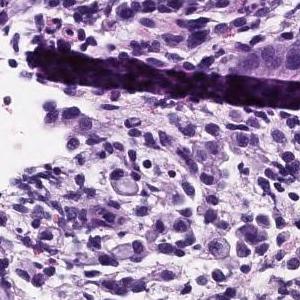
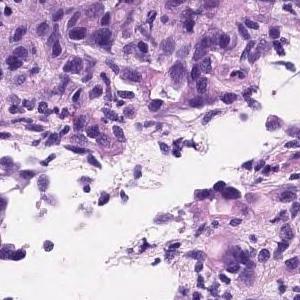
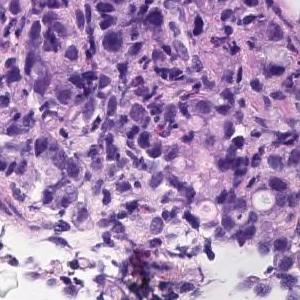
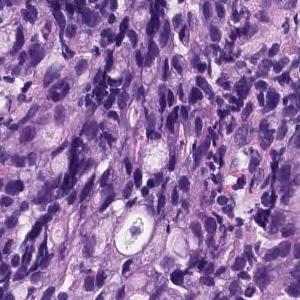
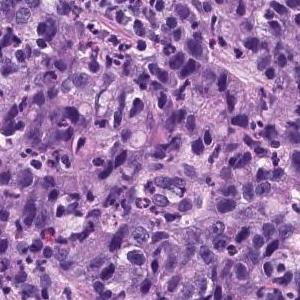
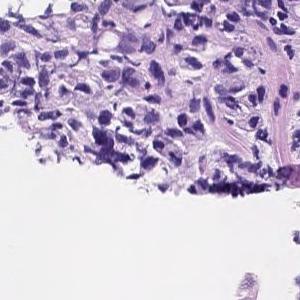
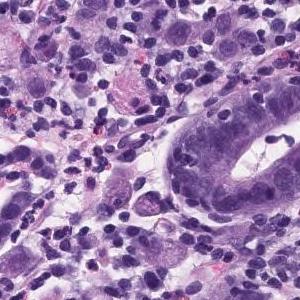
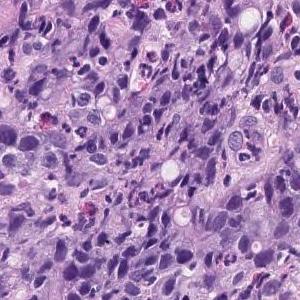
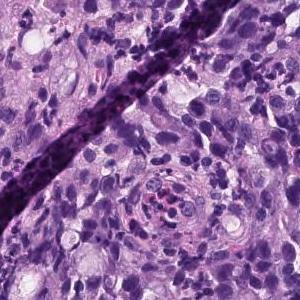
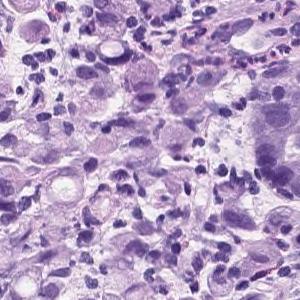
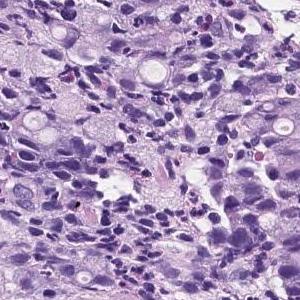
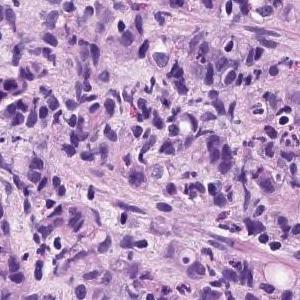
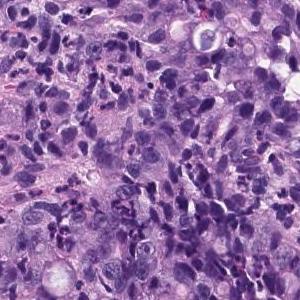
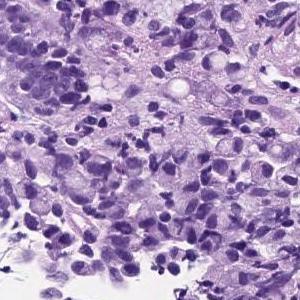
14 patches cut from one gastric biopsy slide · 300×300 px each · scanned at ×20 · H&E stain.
The pathologist's report on the biopsy slide these tiles were taken from. The findings and the diagnosis refer to the entire slide; these tiles show only part of it, possibly with non-tumor tissue, and may not show every feature named.
Diffusely growing signet-ring cells are found in the lamina propria. Signet ring cell carcinoma.
